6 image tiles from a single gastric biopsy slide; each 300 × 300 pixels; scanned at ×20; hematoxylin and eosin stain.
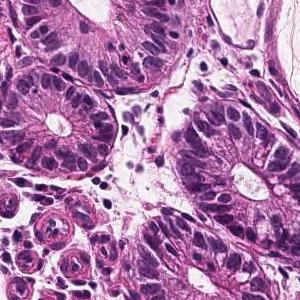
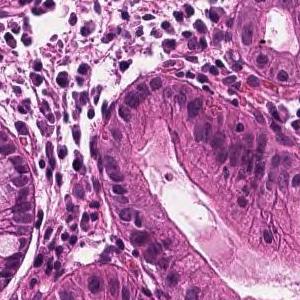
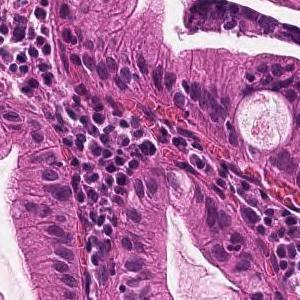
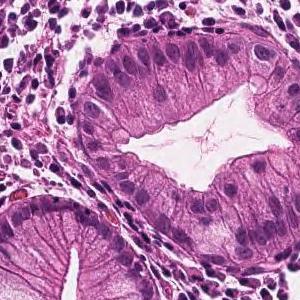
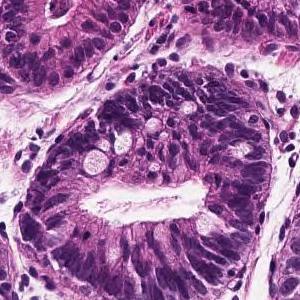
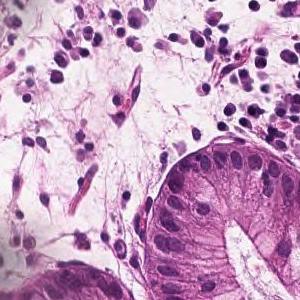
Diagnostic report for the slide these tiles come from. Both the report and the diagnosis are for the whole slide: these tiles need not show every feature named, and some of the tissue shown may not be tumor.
In the superficial epithelium, tumor tissue that invades by forming medium-sized to small, irregular ducts is observed. Well differentiated tubular adenocarcinoma.
